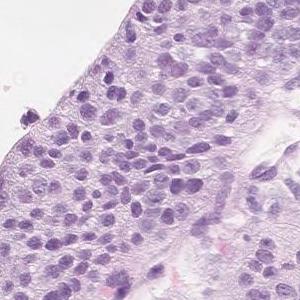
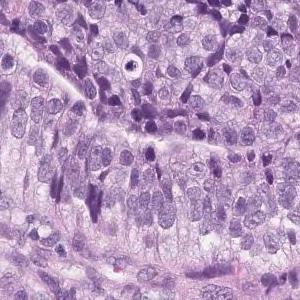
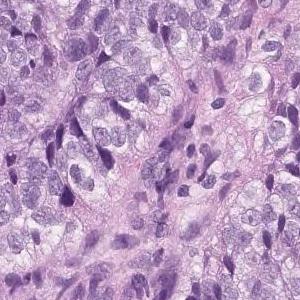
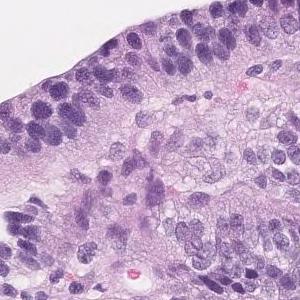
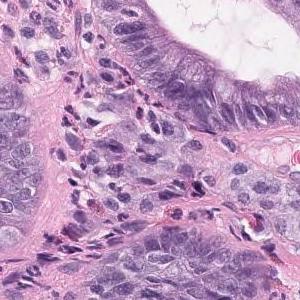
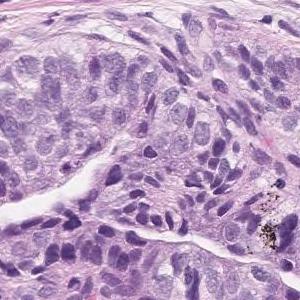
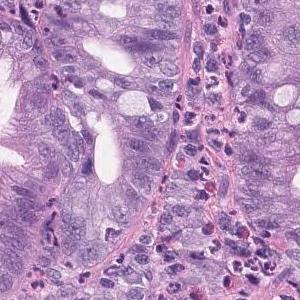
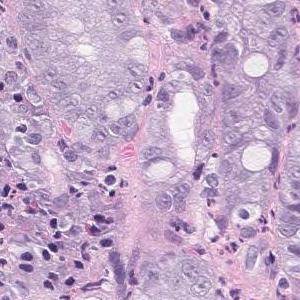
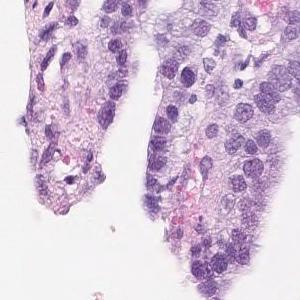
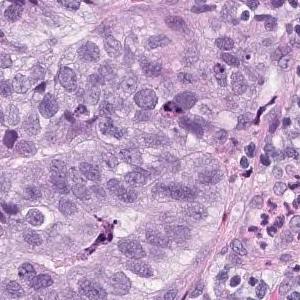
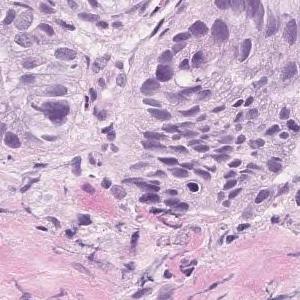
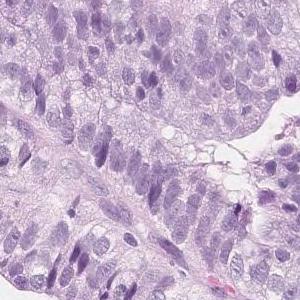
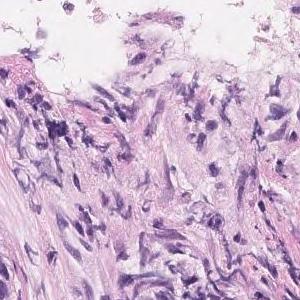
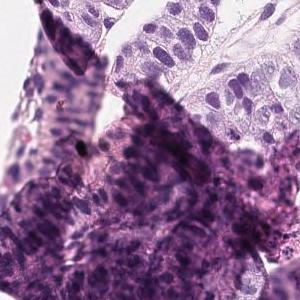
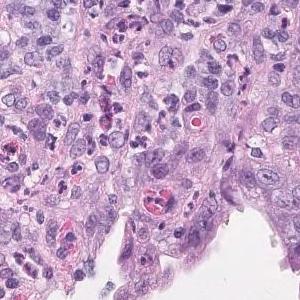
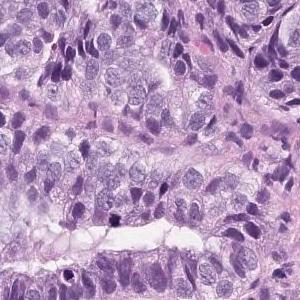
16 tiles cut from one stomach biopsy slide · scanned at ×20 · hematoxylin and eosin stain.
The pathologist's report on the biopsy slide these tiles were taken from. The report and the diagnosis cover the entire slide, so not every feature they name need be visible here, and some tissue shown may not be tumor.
Tumor tissue in which highly columnar atypical epithelial cells with nuclear enlargement and increased nuclear chromatin show papillary to papillary ductal structure and proliferate is observed. Papillary adenocarcinoma.
